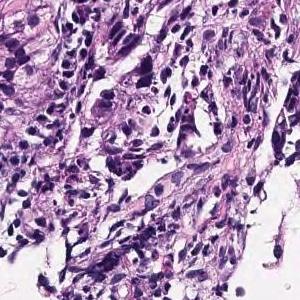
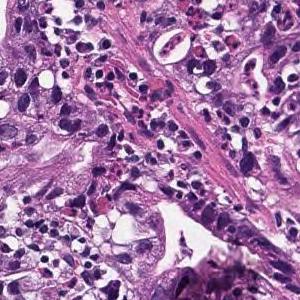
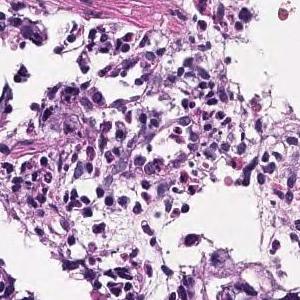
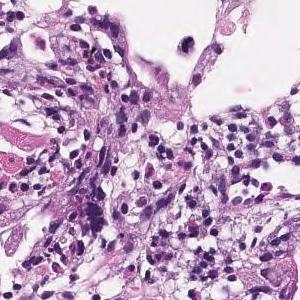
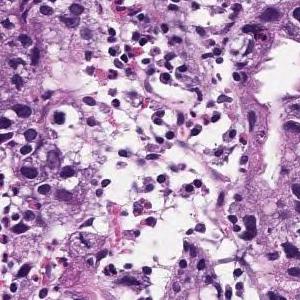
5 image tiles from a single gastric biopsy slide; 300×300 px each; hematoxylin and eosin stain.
Diagnostic report for the slide these tiles come from. Both the report and the diagnosis are for the whole slide: these tiles need not show every feature named, and some of the tissue shown may not be tumor.
In the superficial epithelium, tumor tissue that invades by forming medium-sized to small, irregular ducts is observed. moderately differentiated tubular adenocarcinoma.
